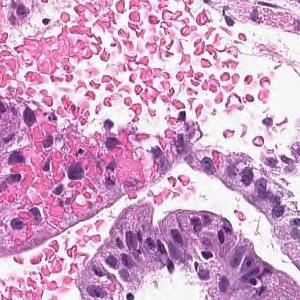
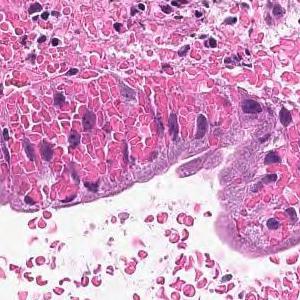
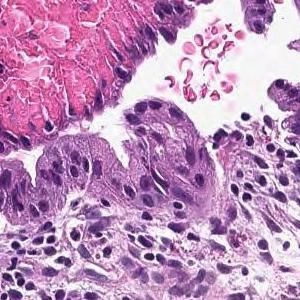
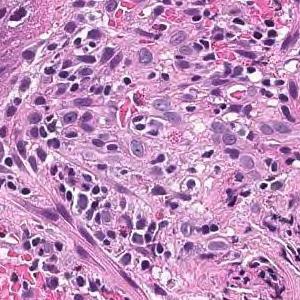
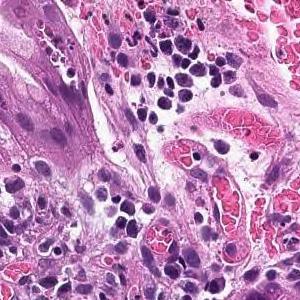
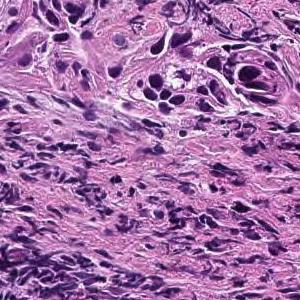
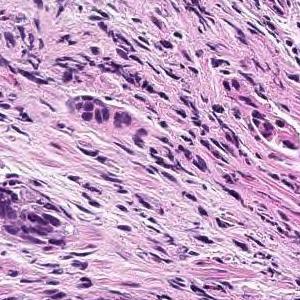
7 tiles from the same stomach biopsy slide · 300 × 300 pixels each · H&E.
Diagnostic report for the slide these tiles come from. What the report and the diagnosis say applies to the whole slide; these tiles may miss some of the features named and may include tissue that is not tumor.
In the superficial epithelium, tumor tissue that invades by forming medium-sized to small, irregular ducts is observed. moderately differentiated tubular adenocarcinoma.
